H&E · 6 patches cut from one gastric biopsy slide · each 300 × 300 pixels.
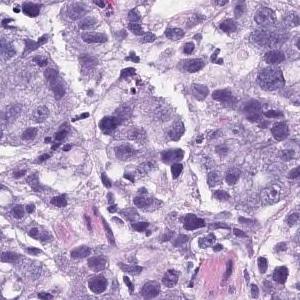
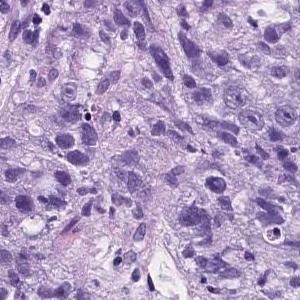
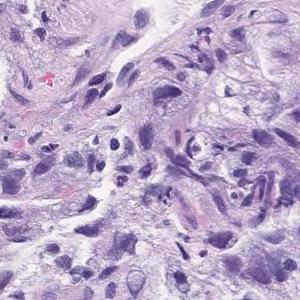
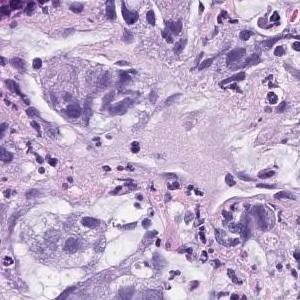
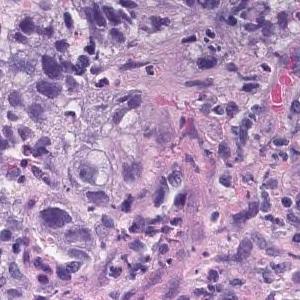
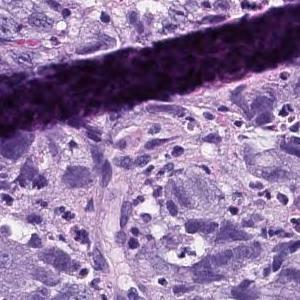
Report on the slide these tiles come from. Both the report and the diagnosis are for the whole slide: these tiles need not show every feature named, and some of the tissue shown may not be tumor.
Atypical l cells with atypical nuclei forming solid vesicles or small irregular atypical ducts that proliferate in a complex manner. poorly differentiated adenocarcinoma, solid type, moderately differentiated tubular adenocarcinoma
The solid type named here is a Japanese Classification of Gastric Carcinoma category; WHO 2019 calls it tubular adenocarcinoma, poorly differentiated.
